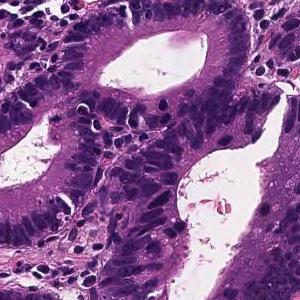
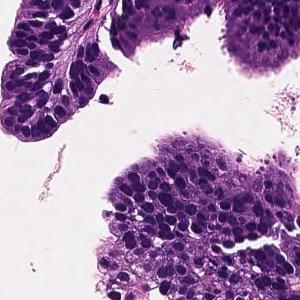
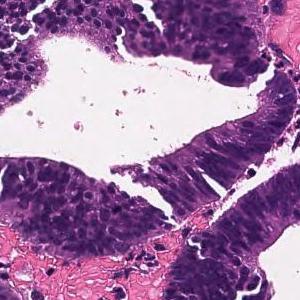
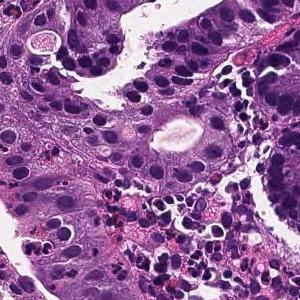
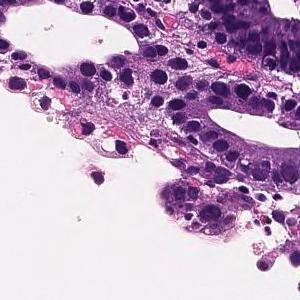
20× magnification · 5 tiles from the same stomach biopsy slide.
Pathology report for the slide these tiles were cut from. The report and the diagnosis describe the slide as a whole, so these tiles may not show every feature named and may include non-tumor tissue.
Tumor tissue consisting of large papillary structures is found in the superficial epithelium. Papillary adenocarcinoma.
